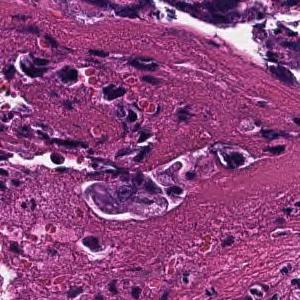
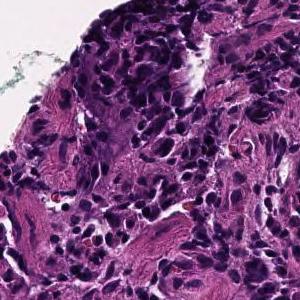
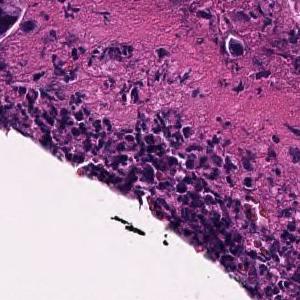
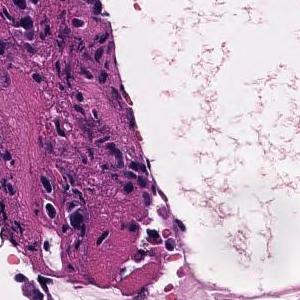
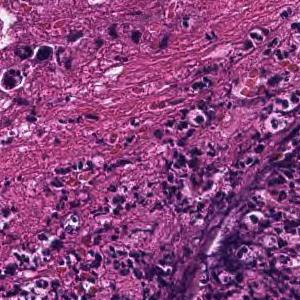
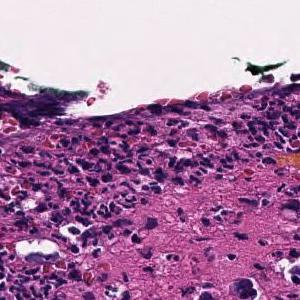
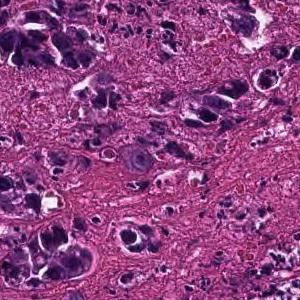
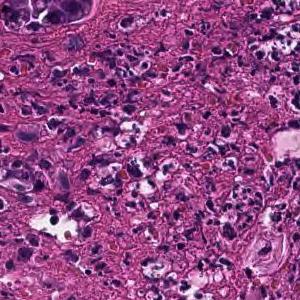
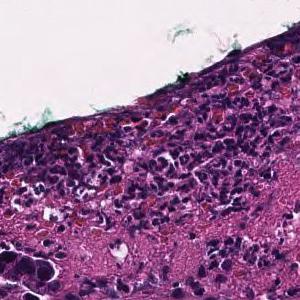
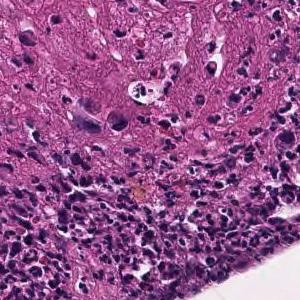
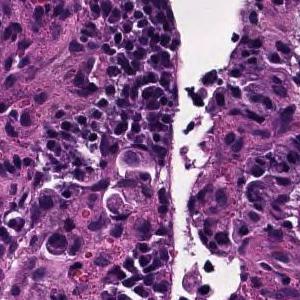
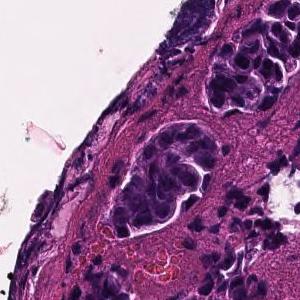
H&E, 12 patches cut from one gastric biopsy slide, 300×300 px each.
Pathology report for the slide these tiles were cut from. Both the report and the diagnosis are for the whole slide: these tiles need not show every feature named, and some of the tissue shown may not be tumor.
Tumor tissue consisting of cord-like or small, irregular glandular ducts fused and infiltrated is observed in the superficial epithelium. Poorly differentiated adenocarcinoma, non-solid type
The non-solid type named here is a Japanese Classification of Gastric Carcinoma category.
